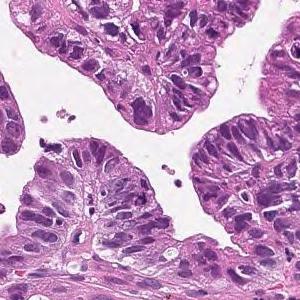
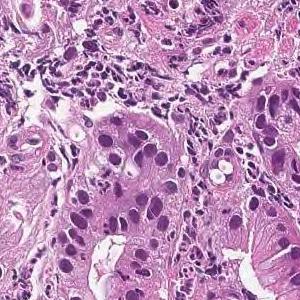
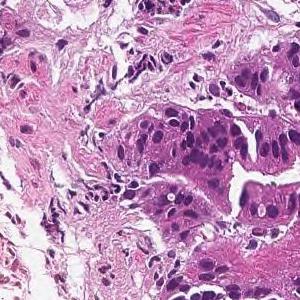
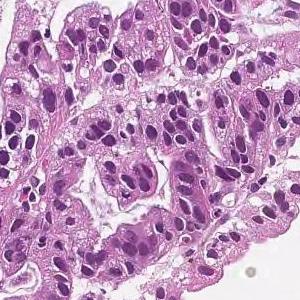
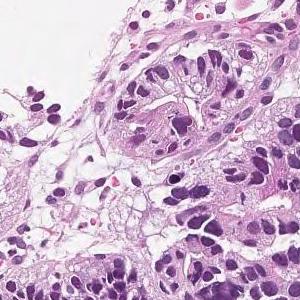
H&E stain, 5 tiles from the same stomach biopsy slide, 300 × 300 pixels each.
Pathology report for the slide these tiles were cut from. The report describes the whole slide, diagnosis included: not every finding it names need appear in these tiles, which may also show non-tumor tissue.
On the superficial epithelium, tumor tissue that infiltrates by forming medium-sized papillary or small irregular ducts is observed. Papillary adenocarcinoma
